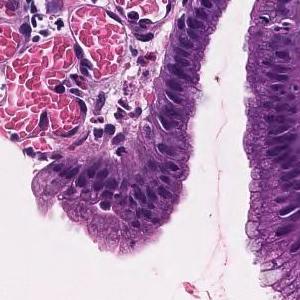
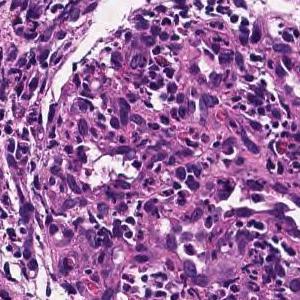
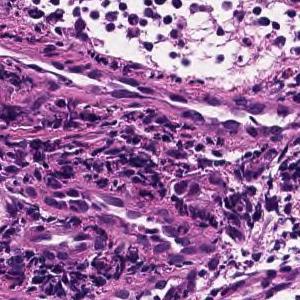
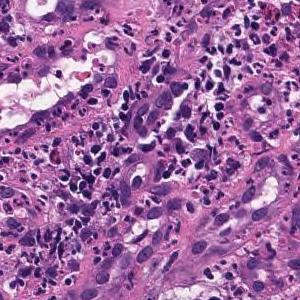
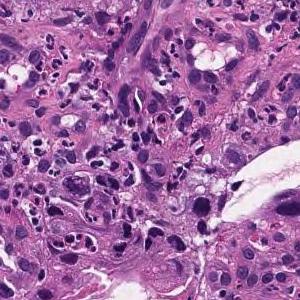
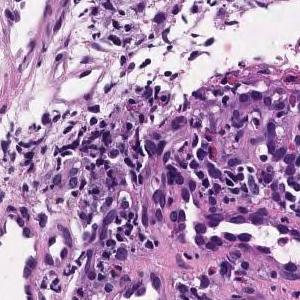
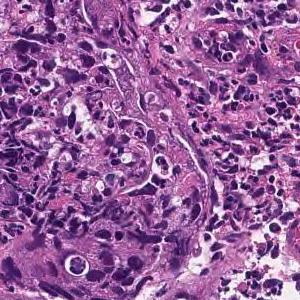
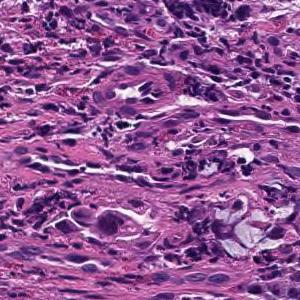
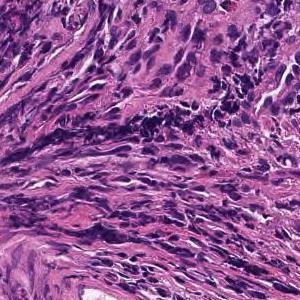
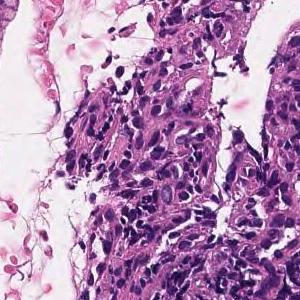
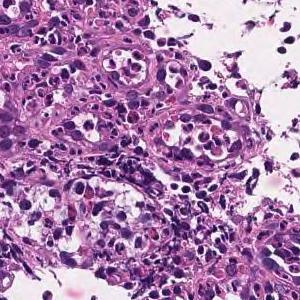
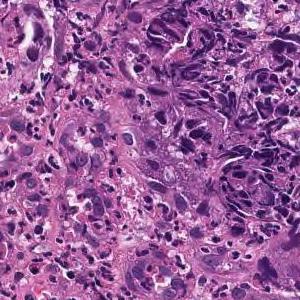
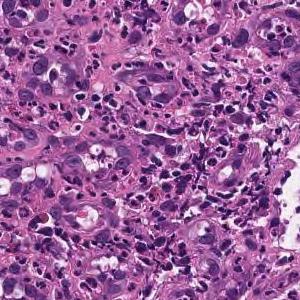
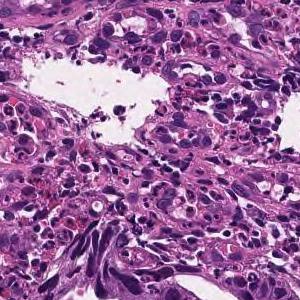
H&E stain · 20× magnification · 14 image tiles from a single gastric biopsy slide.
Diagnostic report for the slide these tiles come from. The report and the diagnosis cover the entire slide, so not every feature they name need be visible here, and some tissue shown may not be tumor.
In the superficial epithelium, tumor tissue that invades by forming medium-sized to small, irregular ducts is observed. moderately differentiated tubular adenocarcinoma.
